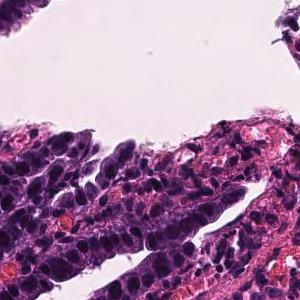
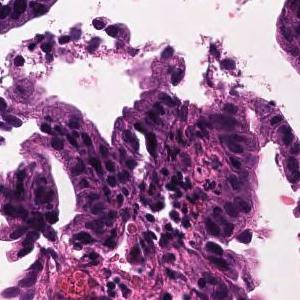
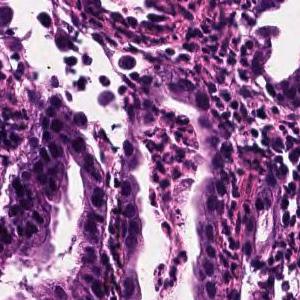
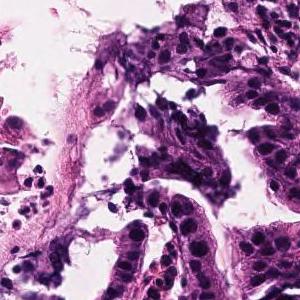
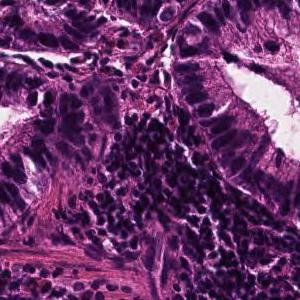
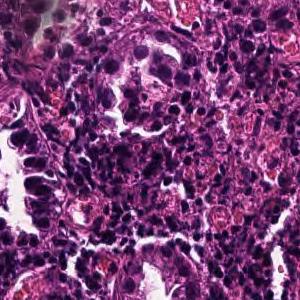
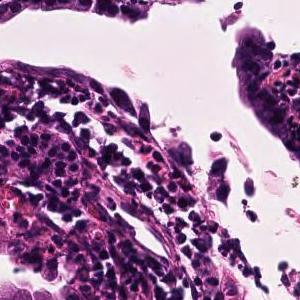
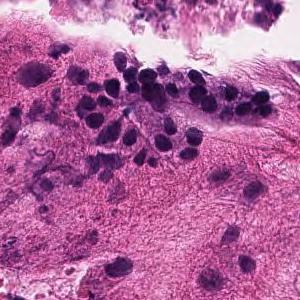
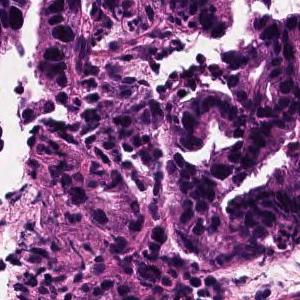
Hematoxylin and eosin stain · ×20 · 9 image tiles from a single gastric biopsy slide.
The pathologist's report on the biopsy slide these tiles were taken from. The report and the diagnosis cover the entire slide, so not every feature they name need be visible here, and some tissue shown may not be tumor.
Tumor tissue consisting of large papillary structures is found in the superficial epithelium. Papillary adenocarcinoma.
